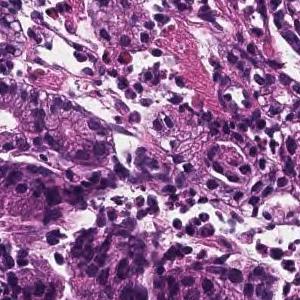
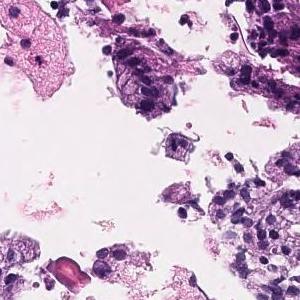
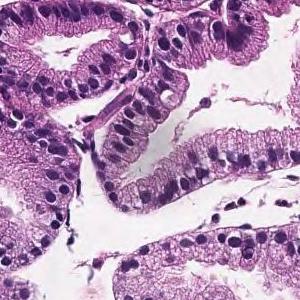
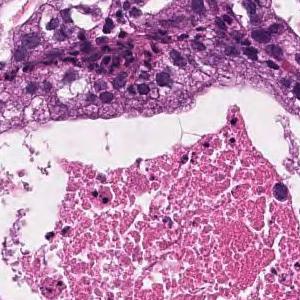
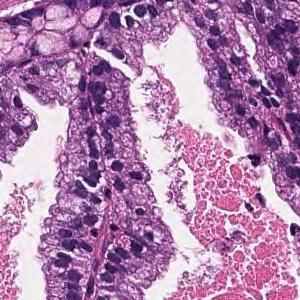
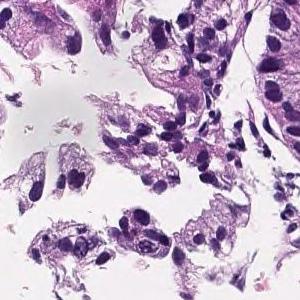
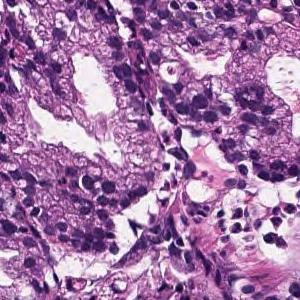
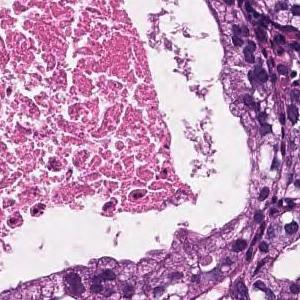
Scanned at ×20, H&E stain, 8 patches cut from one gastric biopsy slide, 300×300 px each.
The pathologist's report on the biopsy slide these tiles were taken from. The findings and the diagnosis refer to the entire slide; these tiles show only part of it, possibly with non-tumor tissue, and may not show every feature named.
In the superficial epithelium, tumor tissue that infiltrates by forming medium-sized papillary or small irregular ducts is observed. Papillary adenocarcinoma
